8 patches cut from one gastric biopsy slide · scanned at ×20.
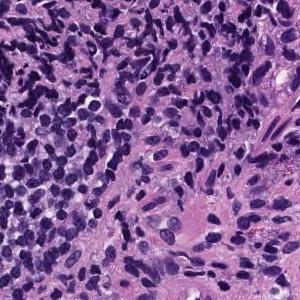
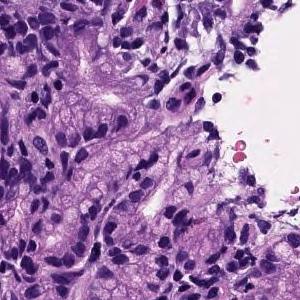
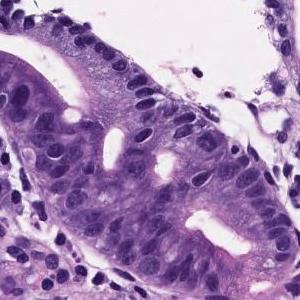
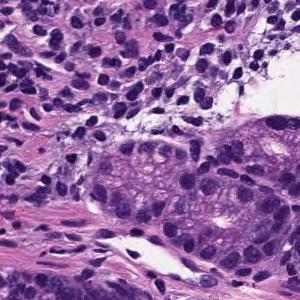
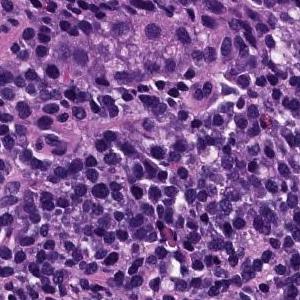
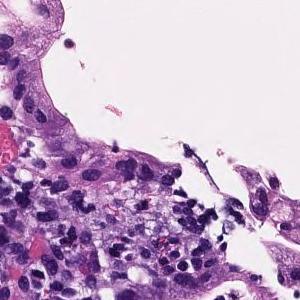
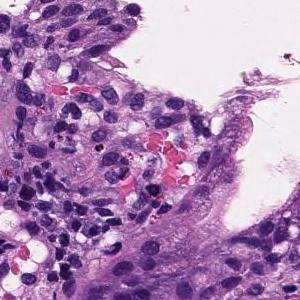
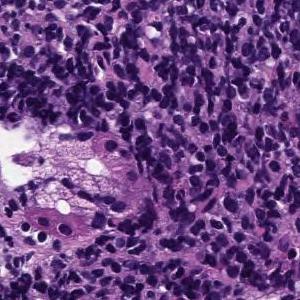
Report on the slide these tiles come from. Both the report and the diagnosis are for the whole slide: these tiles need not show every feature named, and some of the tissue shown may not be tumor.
Medium to small, irregular glandular ducts are formed in the superficial epithelium, and in some cases, the glandular ducts are fused to show solid alveolar lesions and infiltrating tumor tissue is observed. Moderately to poorly differentiated adenocarcinoma.
